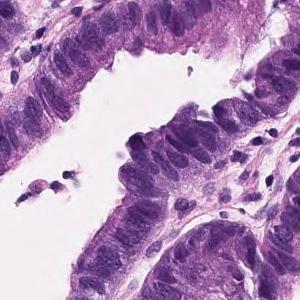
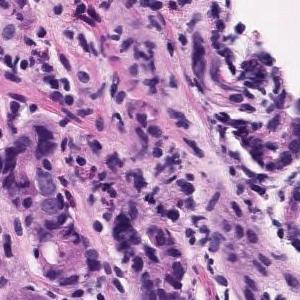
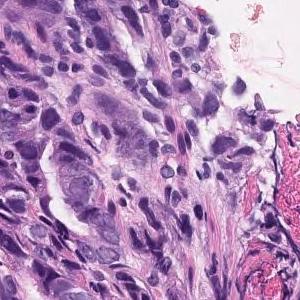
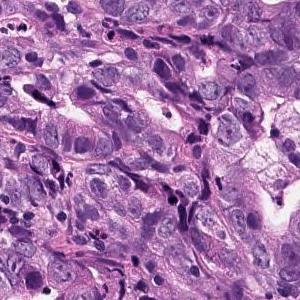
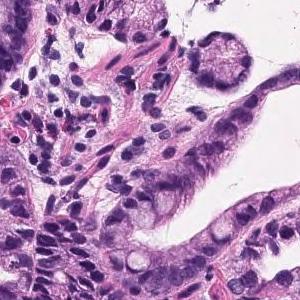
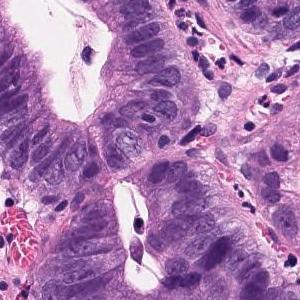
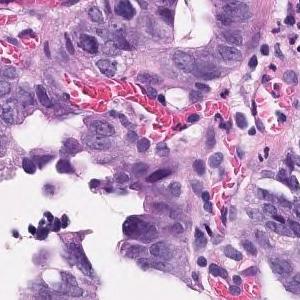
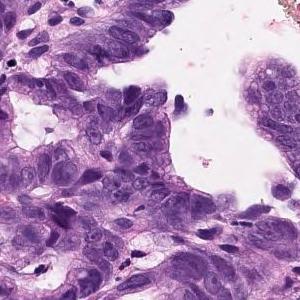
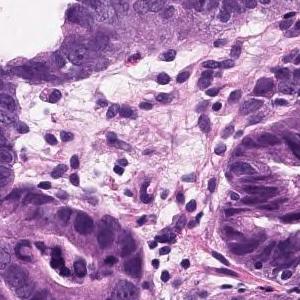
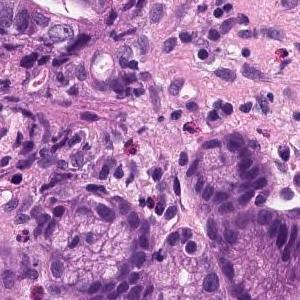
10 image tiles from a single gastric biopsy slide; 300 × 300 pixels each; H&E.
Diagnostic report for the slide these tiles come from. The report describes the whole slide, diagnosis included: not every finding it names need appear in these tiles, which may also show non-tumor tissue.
The swollen atypical epithelium of the nucleus forms an irregular ductal structure and proliferates. moderately differentiated tubular adenocarcinoma
